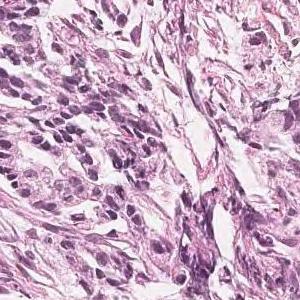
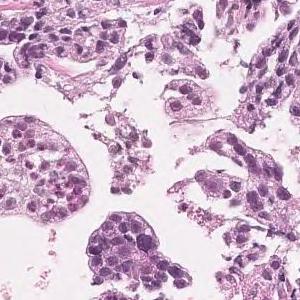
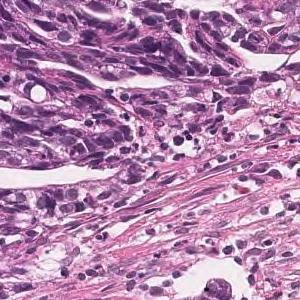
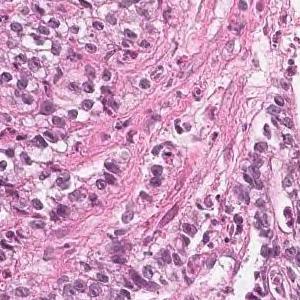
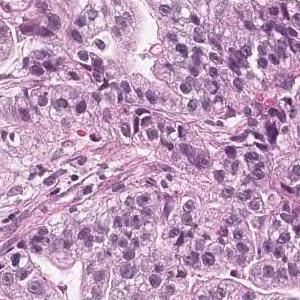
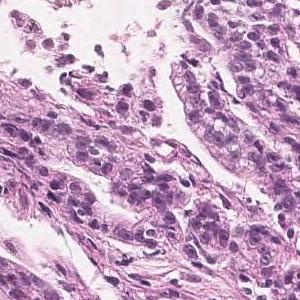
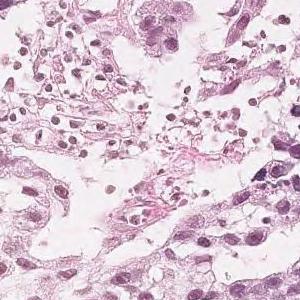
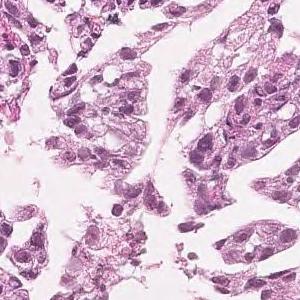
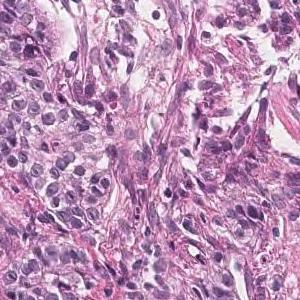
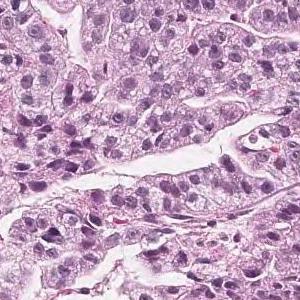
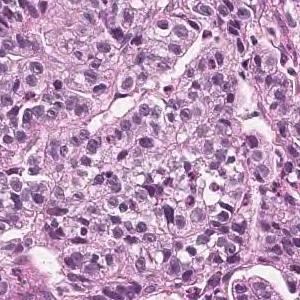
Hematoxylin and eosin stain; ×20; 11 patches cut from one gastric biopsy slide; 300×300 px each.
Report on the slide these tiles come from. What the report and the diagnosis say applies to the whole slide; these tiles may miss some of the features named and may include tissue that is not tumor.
Tumor tissue in which highly columnar atypical epithelial cells with nuclear enlargement and increased nuclear chromatin show papillary to papillary ductal structure and proliferate is observed. Papillary adenocarcinoma.
